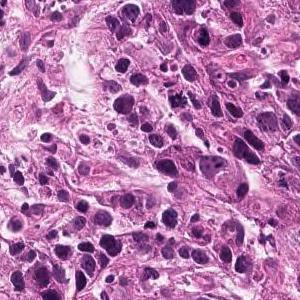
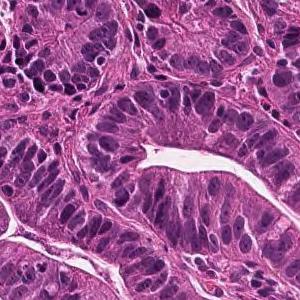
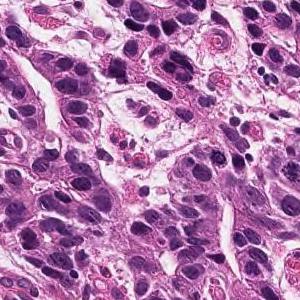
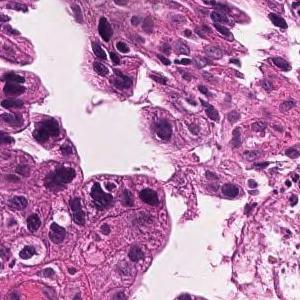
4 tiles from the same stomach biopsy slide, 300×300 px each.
Pathology report for the biopsy slide these tiles were cut from. The report and the diagnosis describe the slide as a whole, so these tiles may not show every feature named and may include non-tumor tissue.
Tumor tissue consisting of medium-sized, cord-like or irregular glandular infiltration is observed in the superficial epithelium. Poorly differentiated adenocarcinoma, non-solid type or moderately differentiated tubular adenocarcinoma
Classified as moderately to poorly differentiated adenocarcinoma.
"Non-solid type" is a category of the Japanese Classification of Gastric Carcinoma.
